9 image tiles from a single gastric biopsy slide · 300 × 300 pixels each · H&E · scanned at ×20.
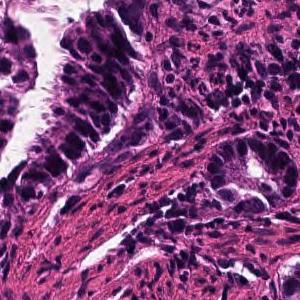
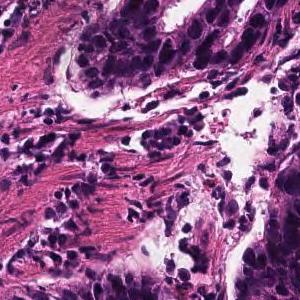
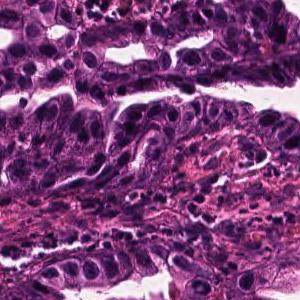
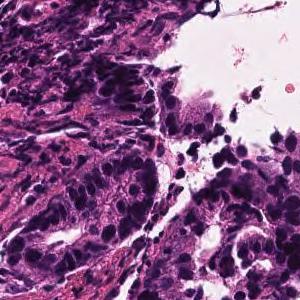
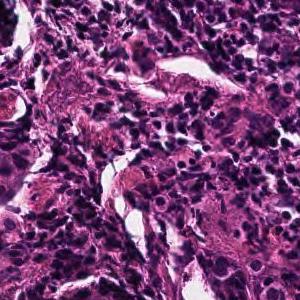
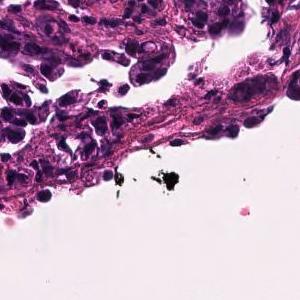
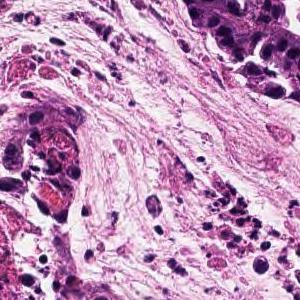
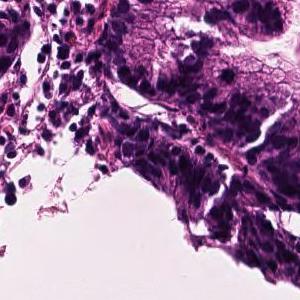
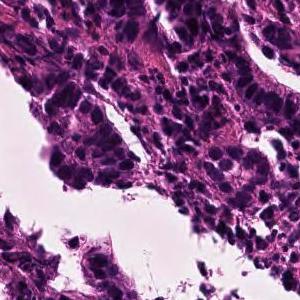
Pathology report for the biopsy slide these tiles were cut from. The report and the diagnosis describe the slide as a whole, so these tiles may not show every feature named and may include non-tumor tissue.
Tumor tissue consisting of large papillary structures is found in the superficial epithelium. Papillary adenocarcinoma.
